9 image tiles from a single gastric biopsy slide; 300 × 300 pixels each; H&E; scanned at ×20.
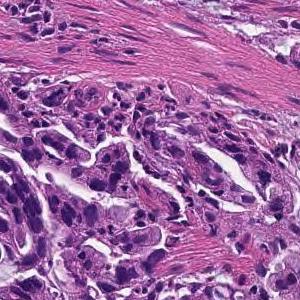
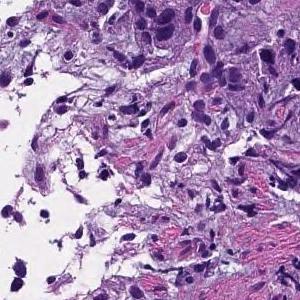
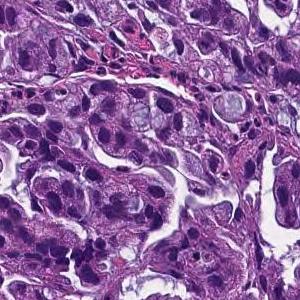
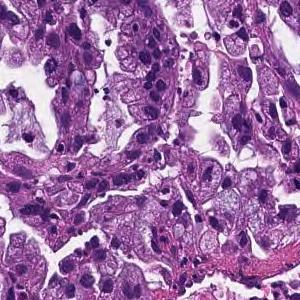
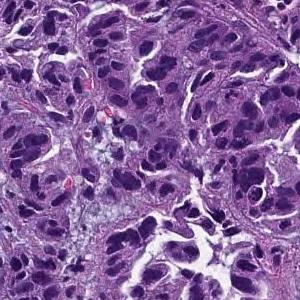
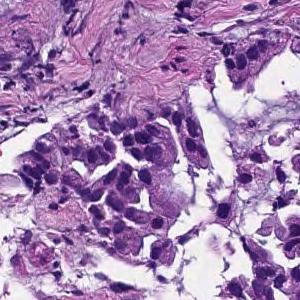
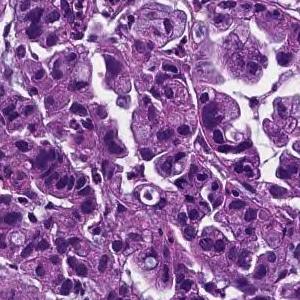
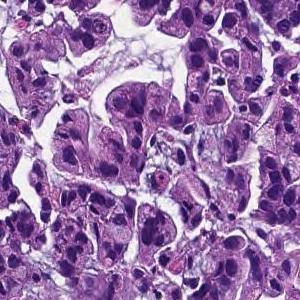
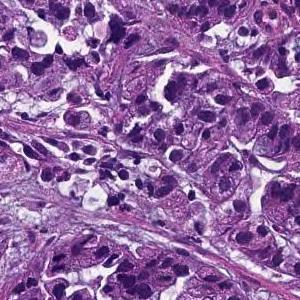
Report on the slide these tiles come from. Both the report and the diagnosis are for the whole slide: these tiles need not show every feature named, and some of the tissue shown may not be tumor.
Tumor tissue consisting of medium-sized, cord-like or irregular glandular infiltration is observed in the superficial epithelium. Poorly differentiated adenocarcinoma, non-solid type or moderately differentiated tubular adenocarcinoma
Classified as moderately to poorly differentiated adenocarcinoma.
The non-solid type named here is a Japanese Classification of Gastric Carcinoma category.
